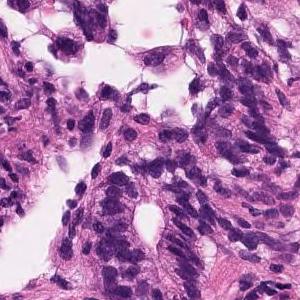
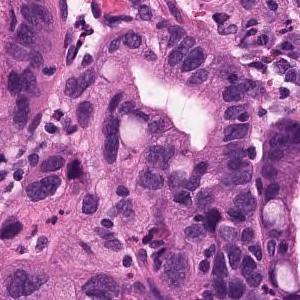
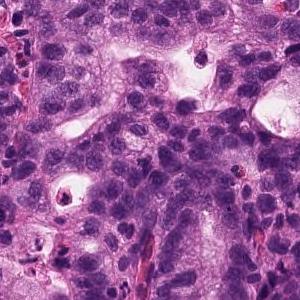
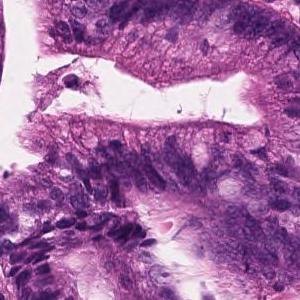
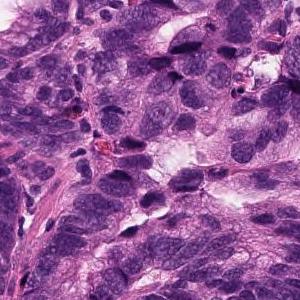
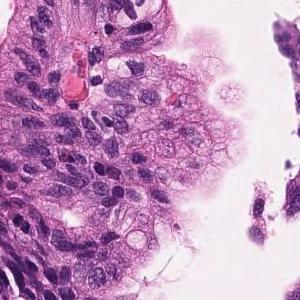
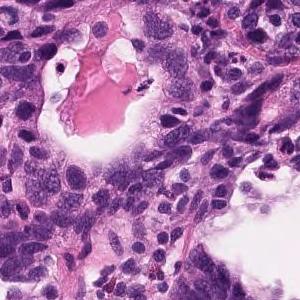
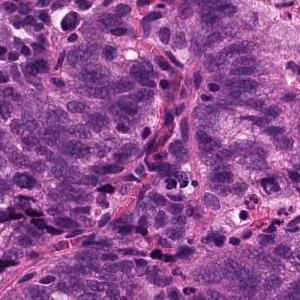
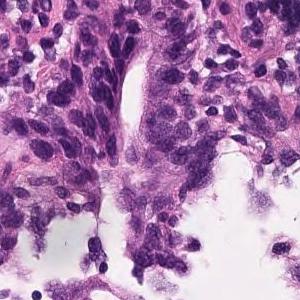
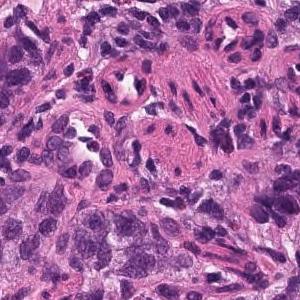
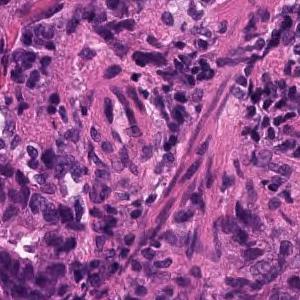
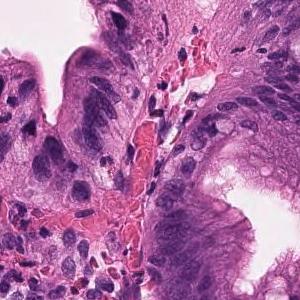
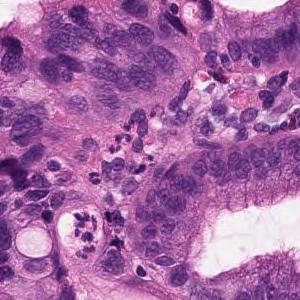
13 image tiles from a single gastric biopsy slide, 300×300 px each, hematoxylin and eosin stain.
Pathology report for the biopsy slide these tiles were cut from. The report and the diagnosis cover the entire slide, so not every feature they name need be visible here, and some tissue shown may not be tumor.
In the superficial epithelium, tumor tissue that invades by forming medium-sized to small, irregular ducts is observed. Moderately differentiated adenocarcinoma.
Histological subtype: Moderately differentiated tubular adenocarcinoma.
